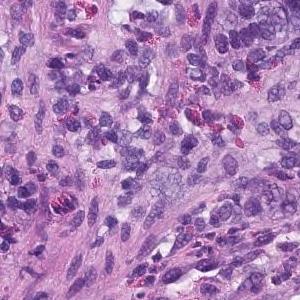
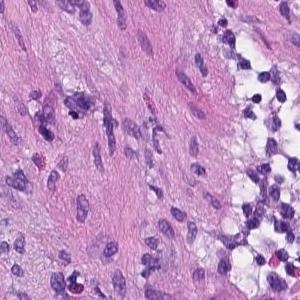
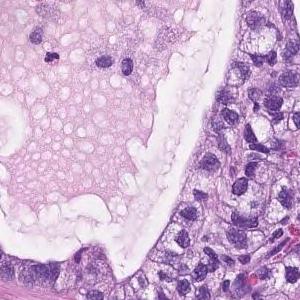
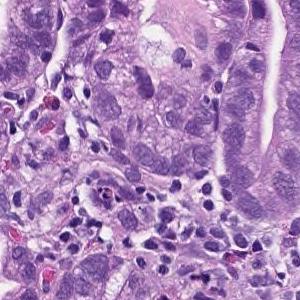
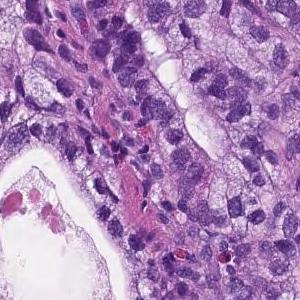
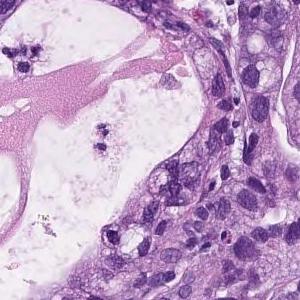
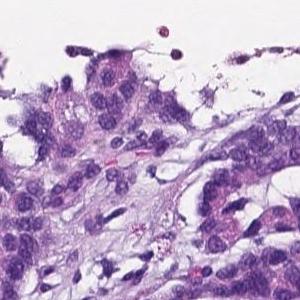
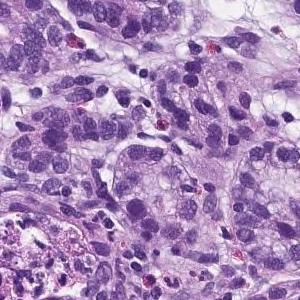
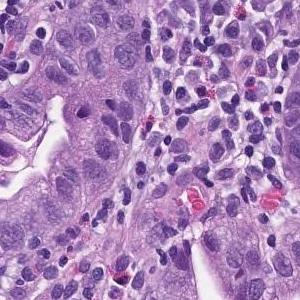
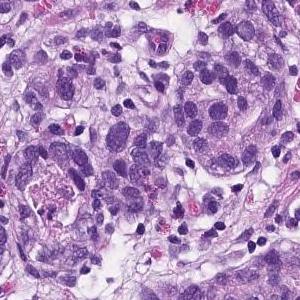
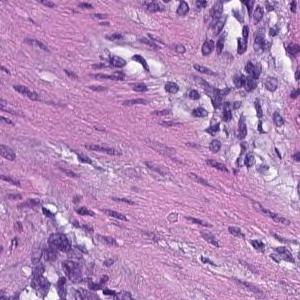
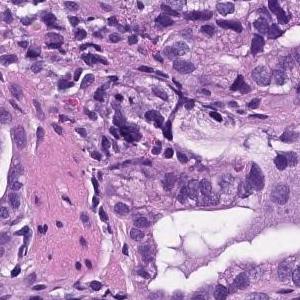
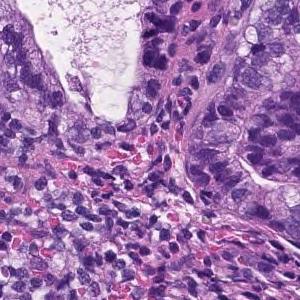
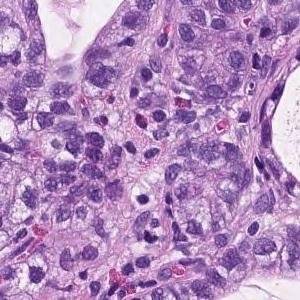
14 patches cut from one gastric biopsy slide; hematoxylin and eosin stain; 20× magnification.
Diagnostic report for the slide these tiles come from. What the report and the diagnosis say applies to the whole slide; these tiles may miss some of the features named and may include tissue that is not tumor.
From the superficial epithelium to the muscularis mucosae, tumor tissue consisting of medium-sized and irregular glandular ducts infiltrating is observed. Well differentiated tubular adenocarcinoma
